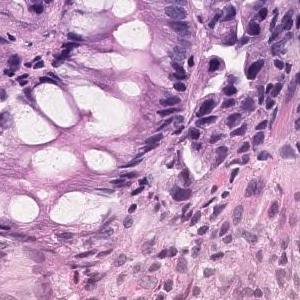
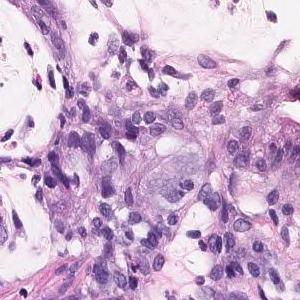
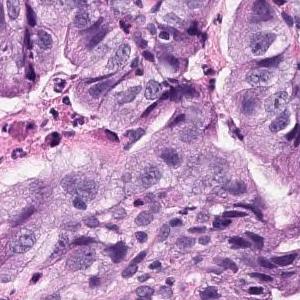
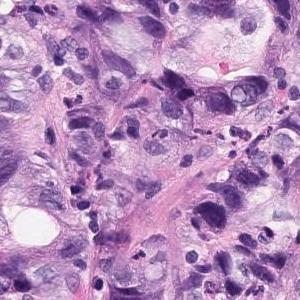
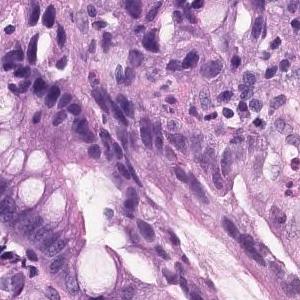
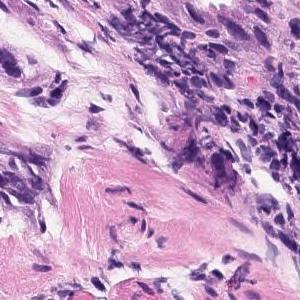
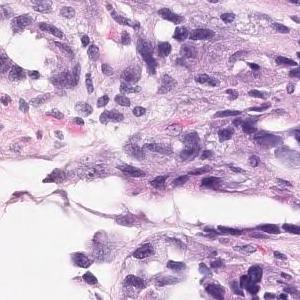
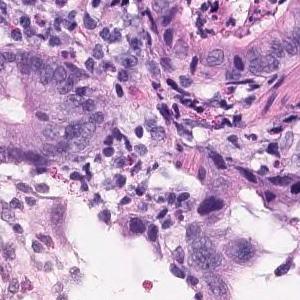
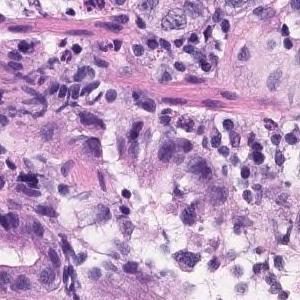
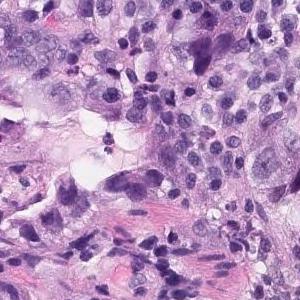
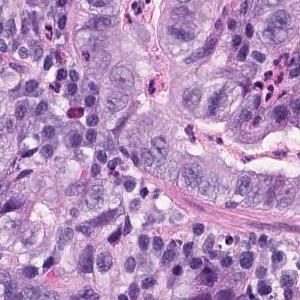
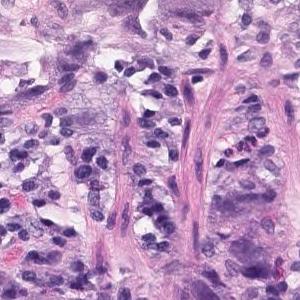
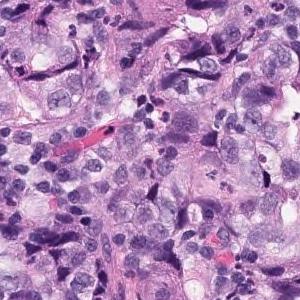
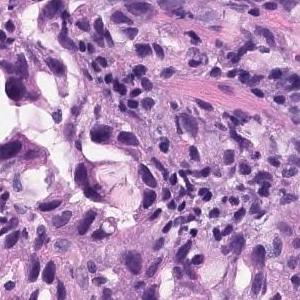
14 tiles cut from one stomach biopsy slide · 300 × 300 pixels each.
Pathology report for the biopsy slide these tiles were cut from. The findings and the diagnosis refer to the entire slide; these tiles show only part of it, possibly with non-tumor tissue, and may not show every feature named.
In the superficial epithelium, tumor tissue that invades by forming medium-sized to small irregular glandular ducts is observed. Moderately differentiated adenocarcinoma.
Histologic type: Moderately differentiated tubular adenocarcinoma.
